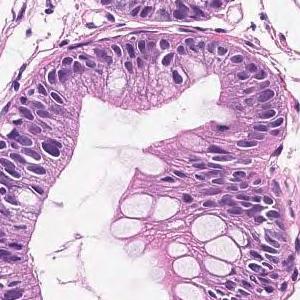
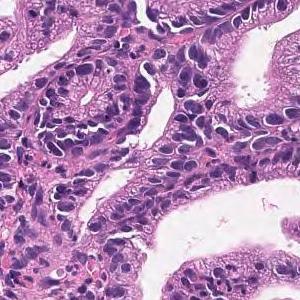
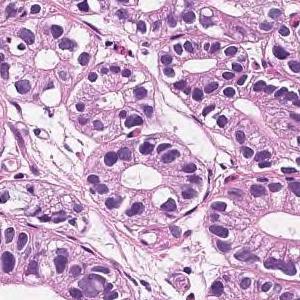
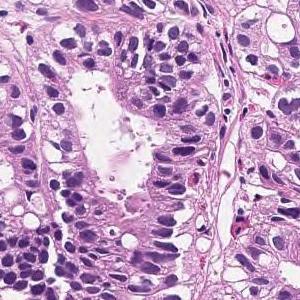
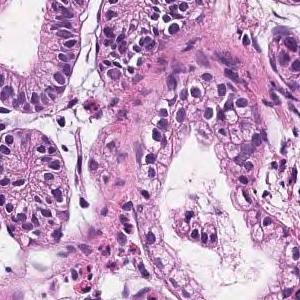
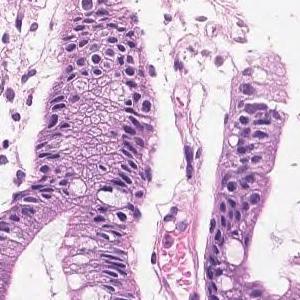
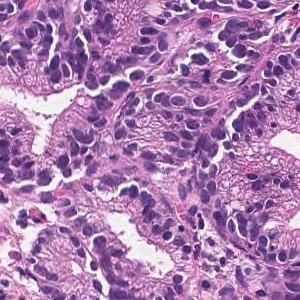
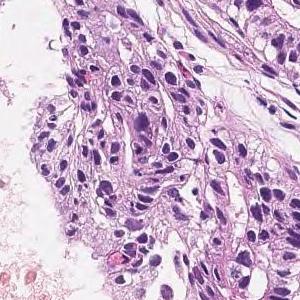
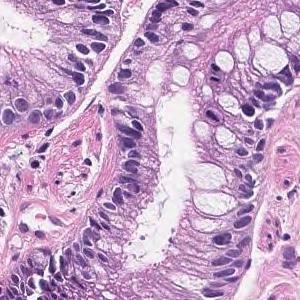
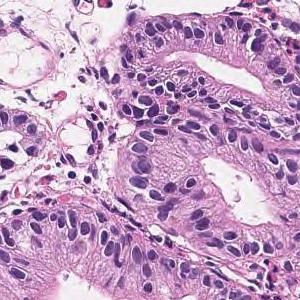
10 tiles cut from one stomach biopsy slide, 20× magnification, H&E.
Diagnostic report for the slide these tiles come from. The report describes the whole slide, diagnosis included: not every finding it names need appear in these tiles, which may also show non-tumor tissue.
In the superficial epithelium, tumor tissue that invades by forming medium-sized to small, irregular ducts is observed. Well differentiated tubular adenocarcinoma.
